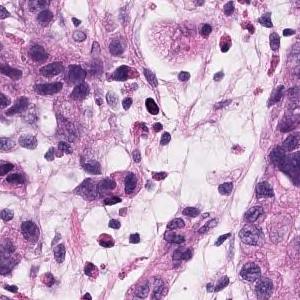
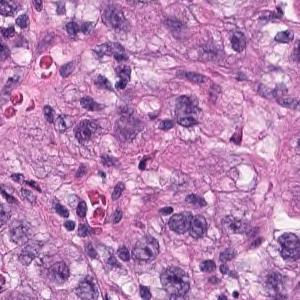
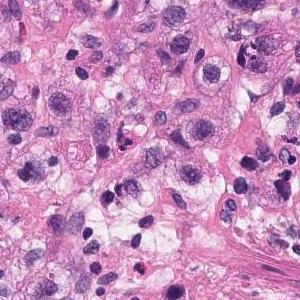
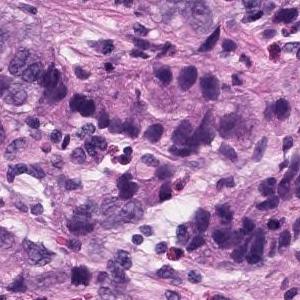
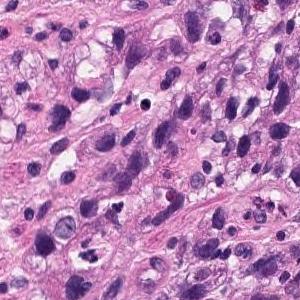
H&E · 5 tiles from the same stomach biopsy slide.
Report on the slide these tiles come from. What the report and the diagnosis say applies to the whole slide; these tiles may miss some of the features named and may include tissue that is not tumor.
Atypical l cells with atypical nuclei forming diffuse or small irregular atypical ducts and growing. Moderately to poorly differentiated adenocarcinoma (poorly differentiated adenocarcinoma, solid type, moderately differentiated tubular adenocarcinoma)
Histologic type: Moderately to poorly differentiated adenocarcinoma.
The term "solid type" comes from the Japanese Classification of Gastric Carcinoma; the WHO 2019 equivalent is tubular adenocarcinoma, poorly differentiated.
